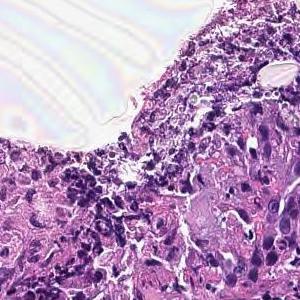
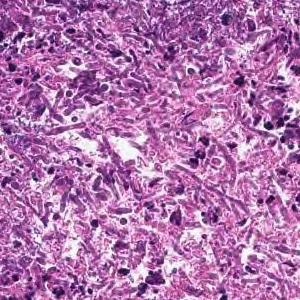
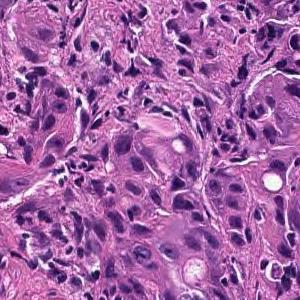
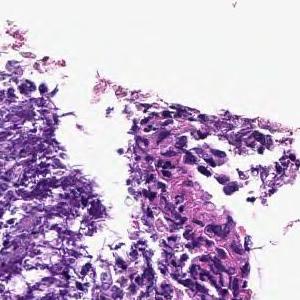
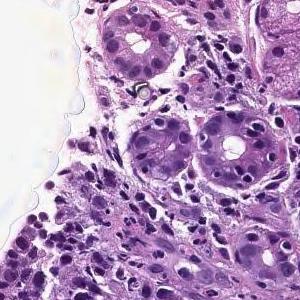
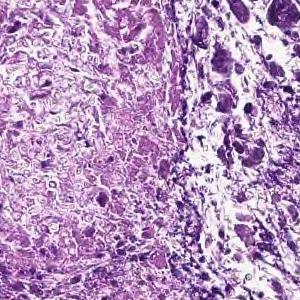
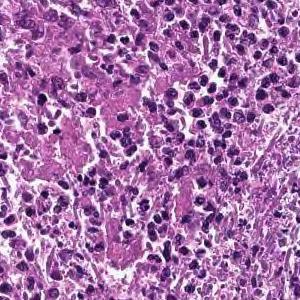
20× magnification, 7 image tiles from a single gastric biopsy slide, 300×300 px each.
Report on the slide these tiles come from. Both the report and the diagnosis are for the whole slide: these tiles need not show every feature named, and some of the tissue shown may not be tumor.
Cancers with polygonal nuclei do not show glandular formation and are densely, in part, cord-like and proliferate. Poorly differentiated adenocarcinoma
Classified as poorly differentiated adenocarcinoma, non-solid type.
The non-solid type named here is a Japanese Classification of Gastric Carcinoma category.
